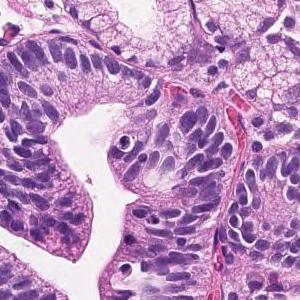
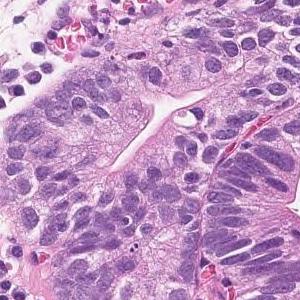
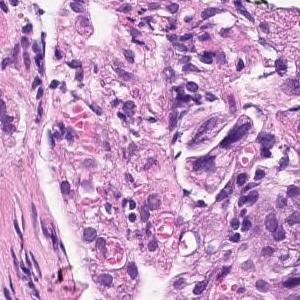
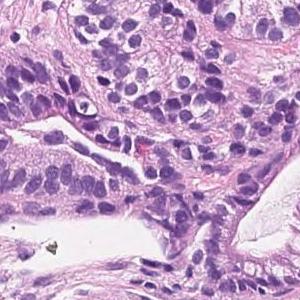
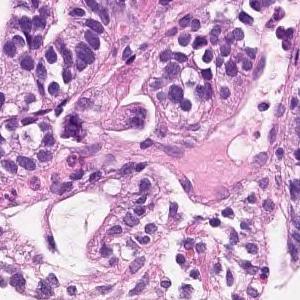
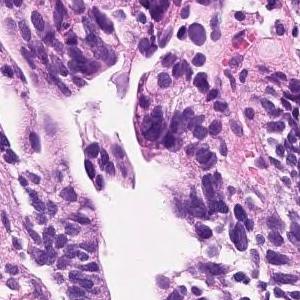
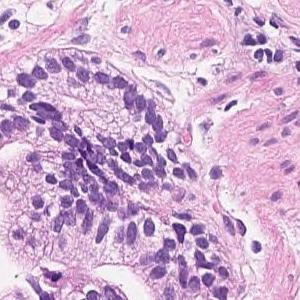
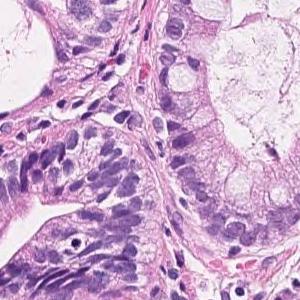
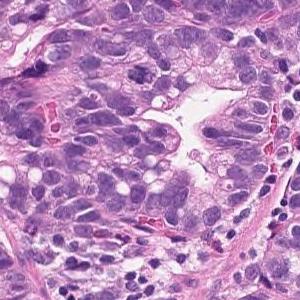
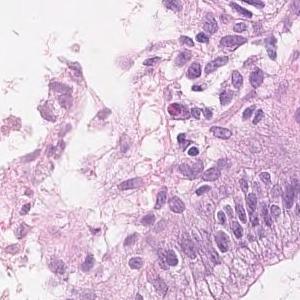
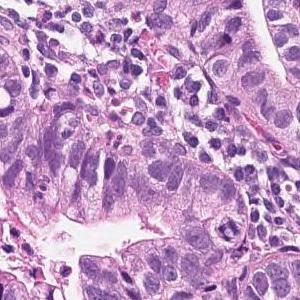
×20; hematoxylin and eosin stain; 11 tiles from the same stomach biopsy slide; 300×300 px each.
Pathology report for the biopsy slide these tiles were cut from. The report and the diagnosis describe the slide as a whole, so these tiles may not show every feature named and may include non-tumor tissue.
On the superficial epithelium, there is a tumor tissue consisting of medium to small, irregular tubules that are partially fused and proliferated. Well to moderately differentiated tubular adenocarcinoma
